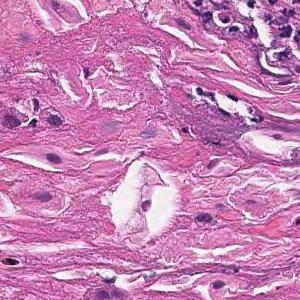
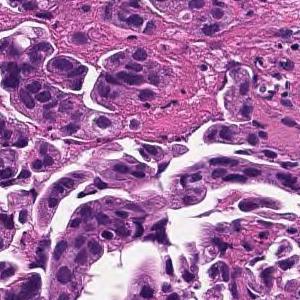
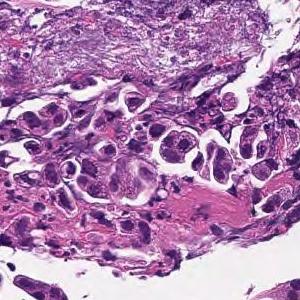
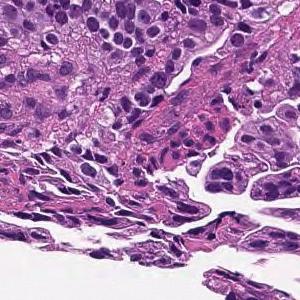
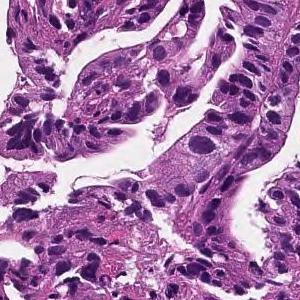
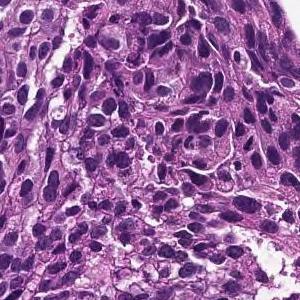
20× magnification; hematoxylin and eosin stain; 6 tiles cut from one stomach biopsy slide.
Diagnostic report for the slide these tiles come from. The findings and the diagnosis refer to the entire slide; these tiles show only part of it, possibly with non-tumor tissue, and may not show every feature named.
Medium to small, irregular glandular ducts are formed in the superficial epithelium, and in some cases, the glandular ducts are fused to show solid alveolar lesions and infiltrating tumor tissue is observed. Moderately to poorly differentiated adenocarcinoma.
